6 image tiles from a single gastric biopsy slide; 300×300 px each; H&E; 20× magnification.
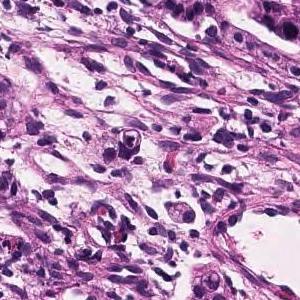
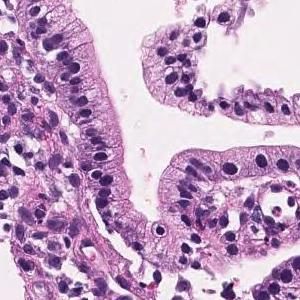
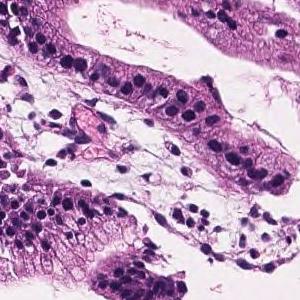
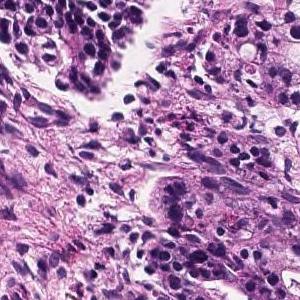
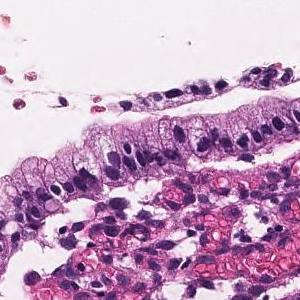
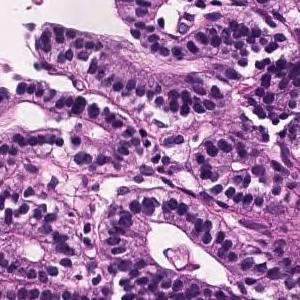
Pathology report for the biopsy slide these tiles were cut from. The report and the diagnosis cover the entire slide, so not every feature they name need be visible here, and some tissue shown may not be tumor.
Tumor tissue consisting of large papillary structures or irregular glandular ducts partially fused and infiltrated is observed in the superficial epithelium. Well to moderately differentiated tubular adenocarcinoma.
The dataset labels this slide moderately differentiated tubular adenocarcinoma.
